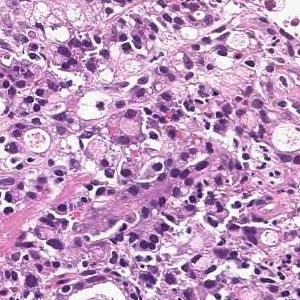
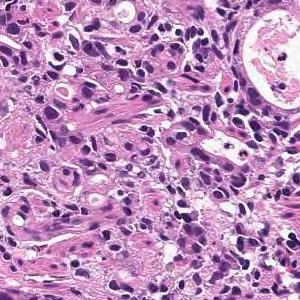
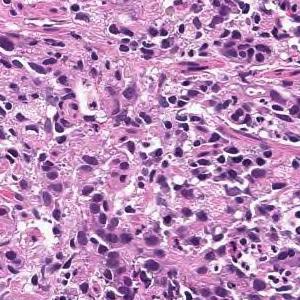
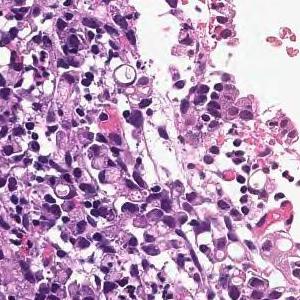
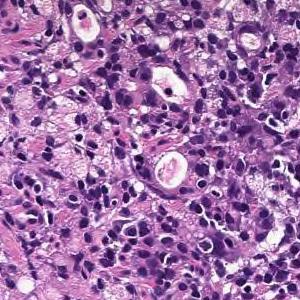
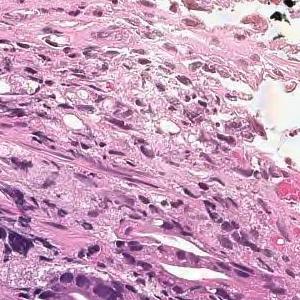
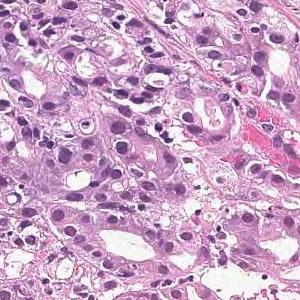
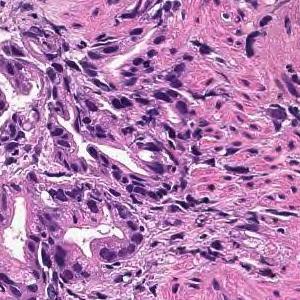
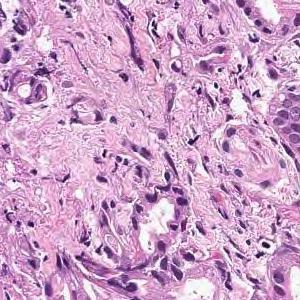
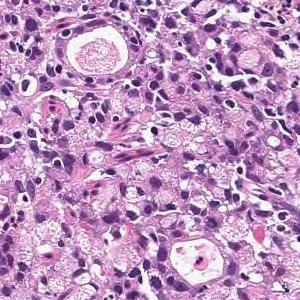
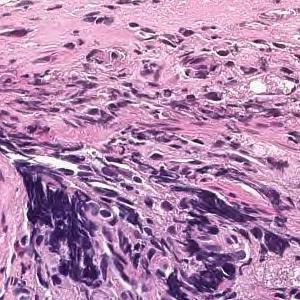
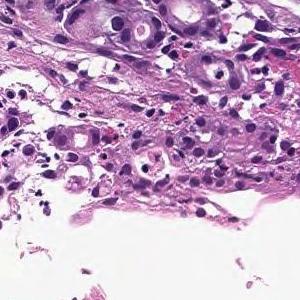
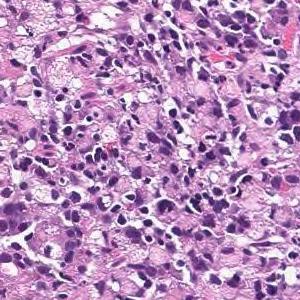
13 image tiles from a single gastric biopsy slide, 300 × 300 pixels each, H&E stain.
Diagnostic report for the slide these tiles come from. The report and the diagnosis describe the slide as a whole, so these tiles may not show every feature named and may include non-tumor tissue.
Tumor tissue consisting of cord-like or small, irregular glandular ducts fused and infiltrated is observed in the superficial epithelium. Poorly differentiated adenocarcinoma, non-solid type
The term "non-solid type" comes from the Japanese Classification of Gastric Carcinoma.
